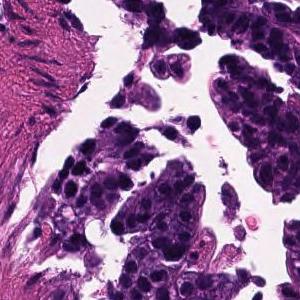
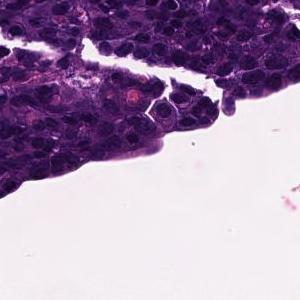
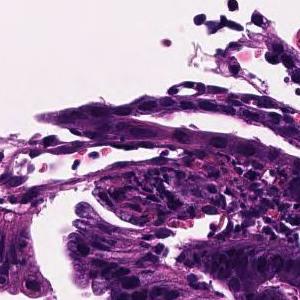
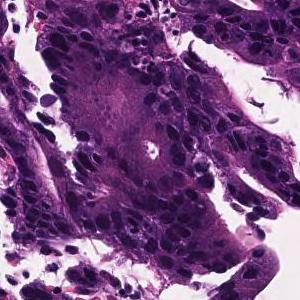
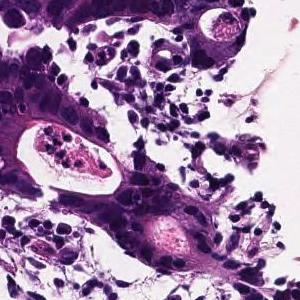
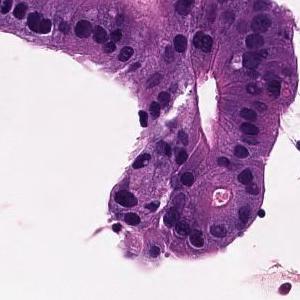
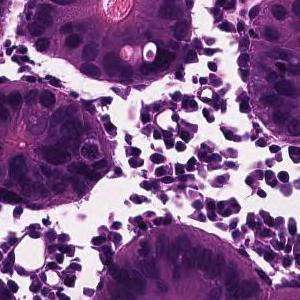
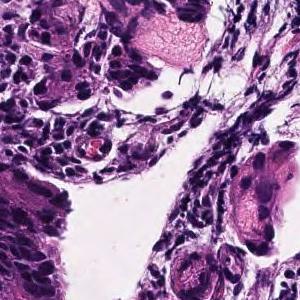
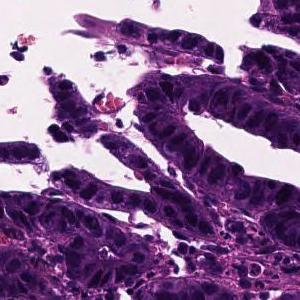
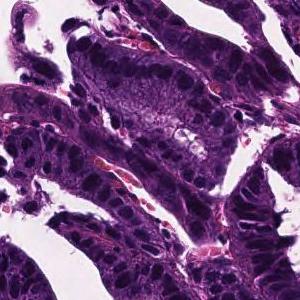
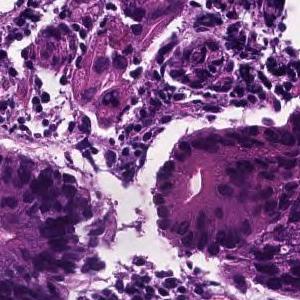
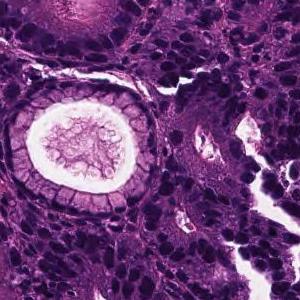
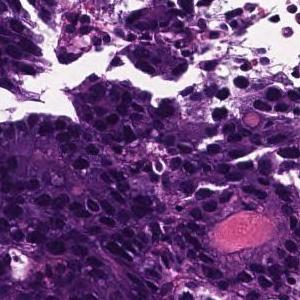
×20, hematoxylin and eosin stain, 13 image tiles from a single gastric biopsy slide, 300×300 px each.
Diagnostic report for the slide these tiles come from. The report and the diagnosis describe the slide as a whole, so these tiles may not show every feature named and may include non-tumor tissue.
From the superficial epithelium to the muscularis mucosae, tumor tissue infiltrating by forming medium-sized irregular gland ducts is observed. Large tumor cells exhibit large nucleus and hyperchromatism. Well differentiated tubular adenocarcinoma
